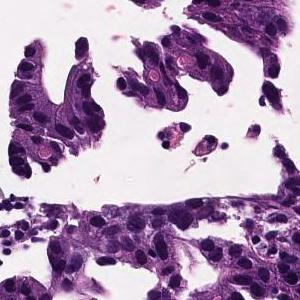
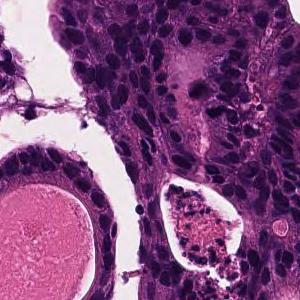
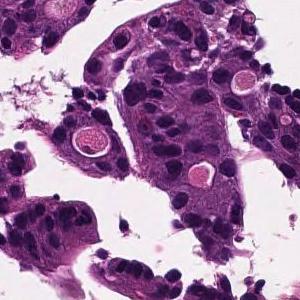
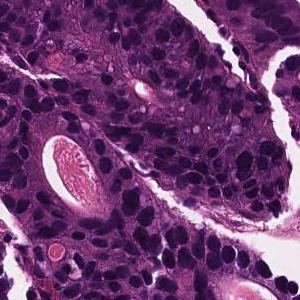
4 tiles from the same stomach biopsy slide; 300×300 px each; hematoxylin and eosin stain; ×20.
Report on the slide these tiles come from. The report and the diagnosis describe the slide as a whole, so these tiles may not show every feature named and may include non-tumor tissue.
In the superficial epithelium, tumor tissue that invades by forming medium-sized to small, irregular ducts is observed. moderately differentiated tubular adenocarcinoma.
